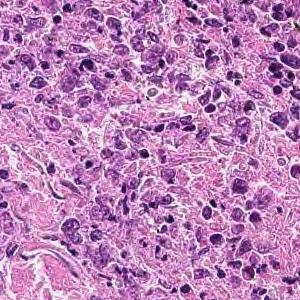
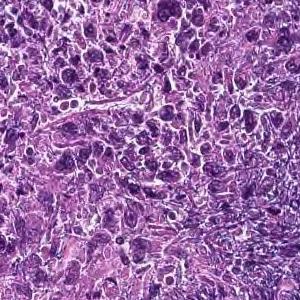
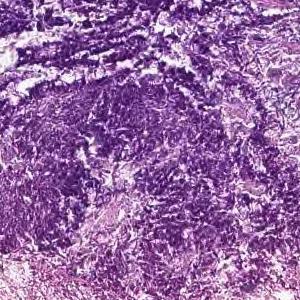
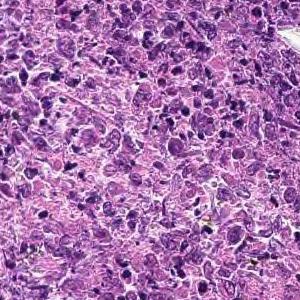
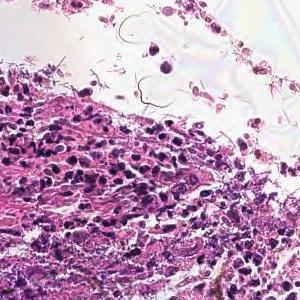
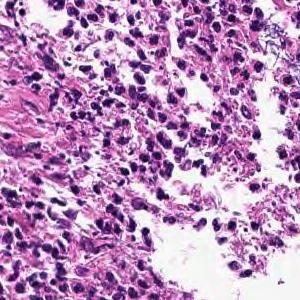
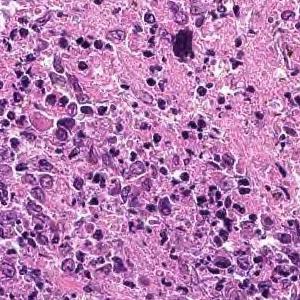
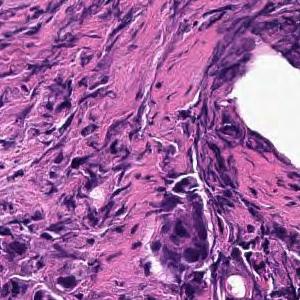
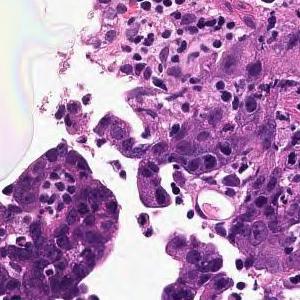
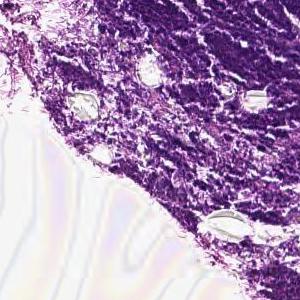
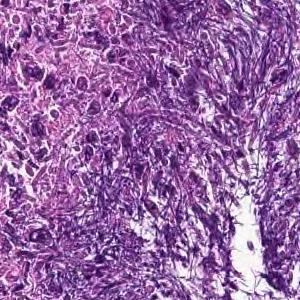
×20, H&E stain, 11 tiles from the same stomach biopsy slide, 300 × 300 pixels each.
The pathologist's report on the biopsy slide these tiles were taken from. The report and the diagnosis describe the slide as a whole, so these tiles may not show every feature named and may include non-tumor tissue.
Cancers with polygonal nuclei do not show glandular formation and are densely, in part, cord-like and proliferate. Poorly differentiated adenocarcinoma
Subtype: Poorly differentiated adenocarcinoma, non-solid type.
"Non-solid type" is a category of the Japanese Classification of Gastric Carcinoma.
